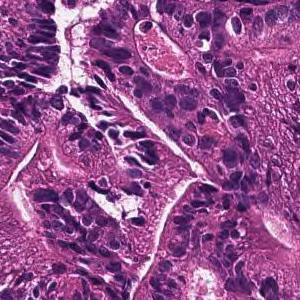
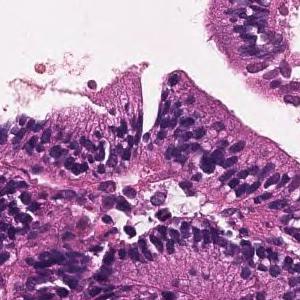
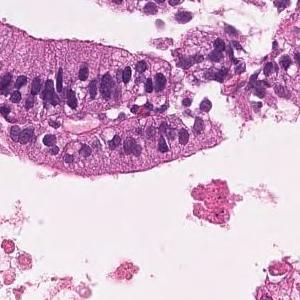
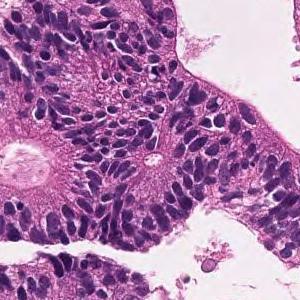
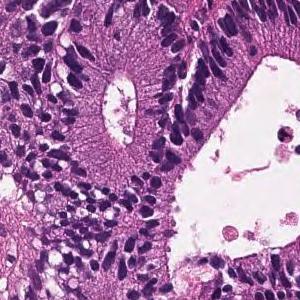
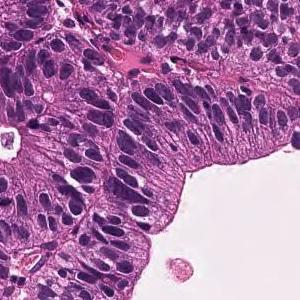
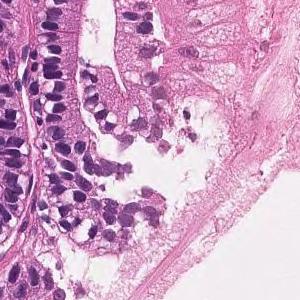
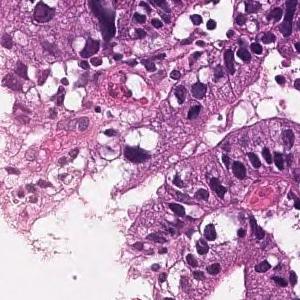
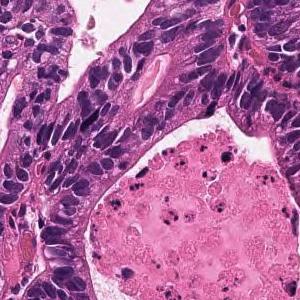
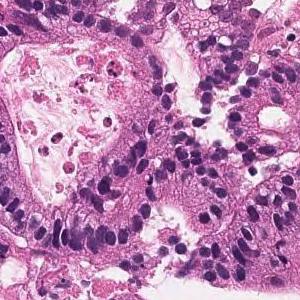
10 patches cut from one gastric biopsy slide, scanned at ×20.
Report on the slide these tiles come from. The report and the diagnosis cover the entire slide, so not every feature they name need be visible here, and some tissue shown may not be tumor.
From the superficial epithelium to the muscularis mucosae, tumor tissue infiltrating by forming medium-sized irregular gland ducts is observed. Large tumor cells exhibit large nucleus and hyperchromatism. Well differentiated tubular adenocarcinoma
